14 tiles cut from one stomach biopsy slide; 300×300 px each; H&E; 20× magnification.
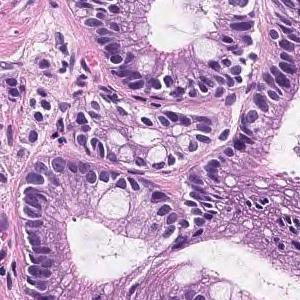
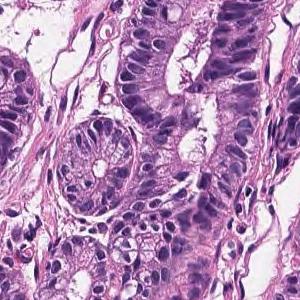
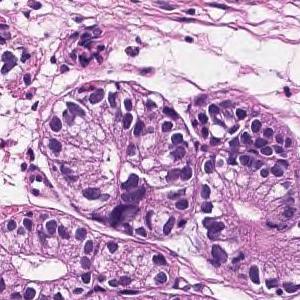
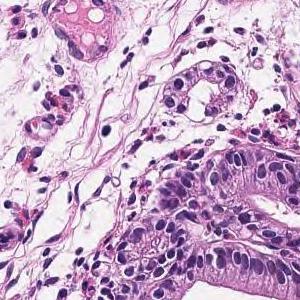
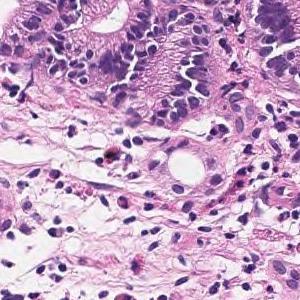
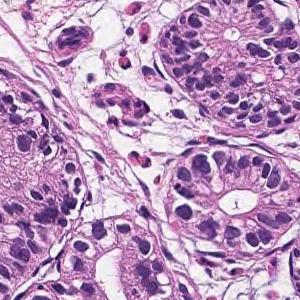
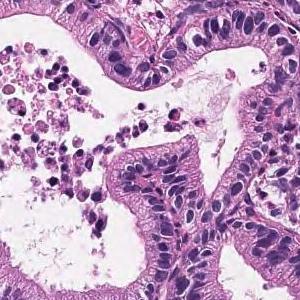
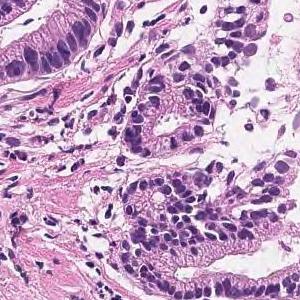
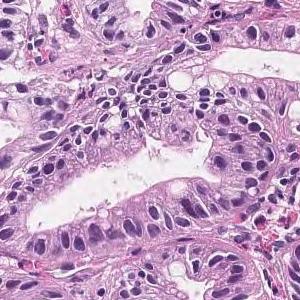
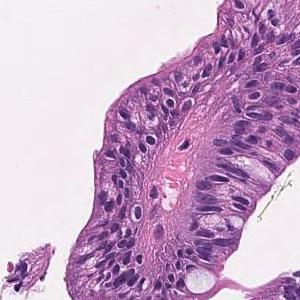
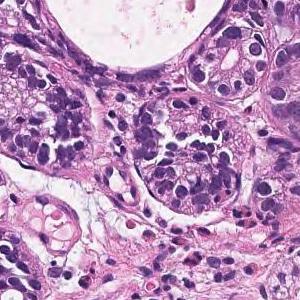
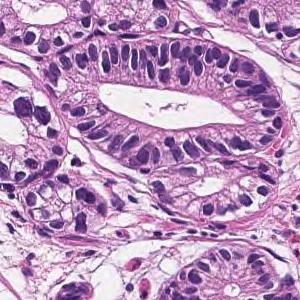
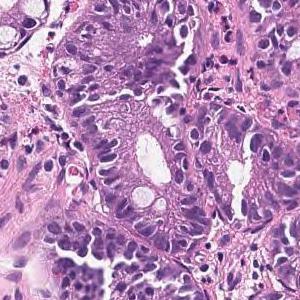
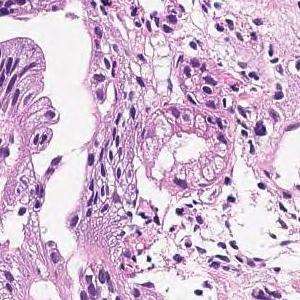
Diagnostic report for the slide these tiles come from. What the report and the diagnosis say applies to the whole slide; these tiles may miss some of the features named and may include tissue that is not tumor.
In the superficial epithelium, tumor tissue that invades by forming medium-sized to small, irregular ducts is observed. Well differentiated tubular adenocarcinoma.
